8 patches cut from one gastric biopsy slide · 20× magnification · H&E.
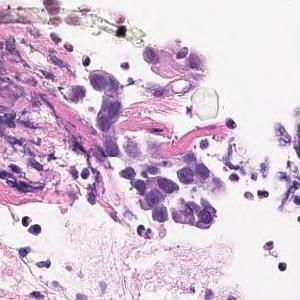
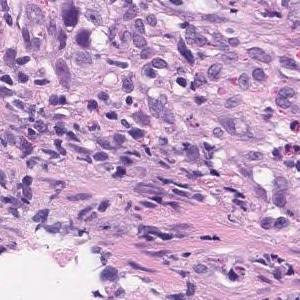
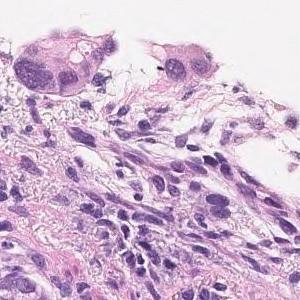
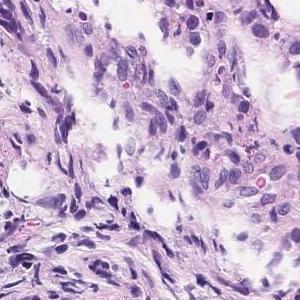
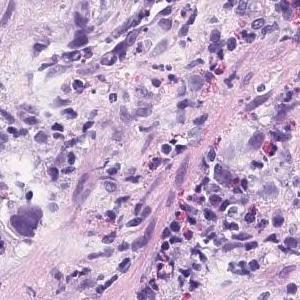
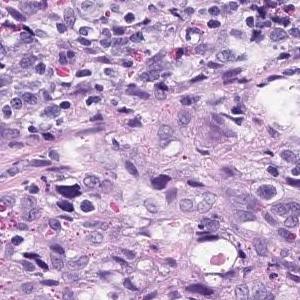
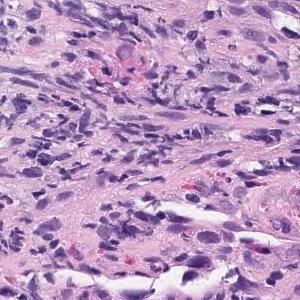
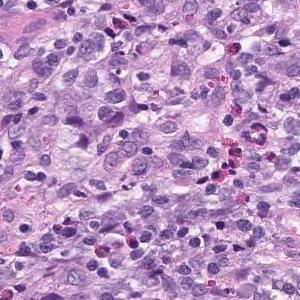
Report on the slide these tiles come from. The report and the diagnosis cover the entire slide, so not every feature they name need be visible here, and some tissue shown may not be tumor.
Group 5, Moderately differentiated adenocarcinoma
Histological subtype: Moderately differentiated tubular adenocarcinoma.
